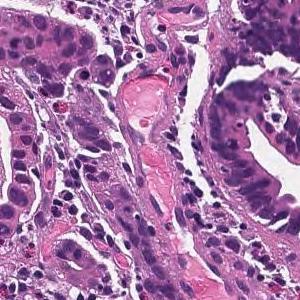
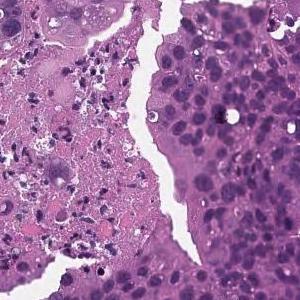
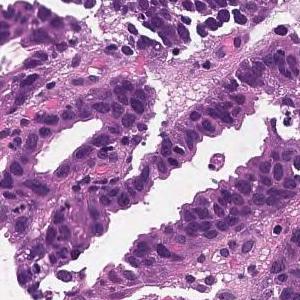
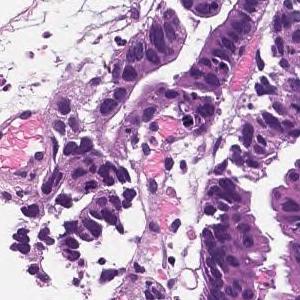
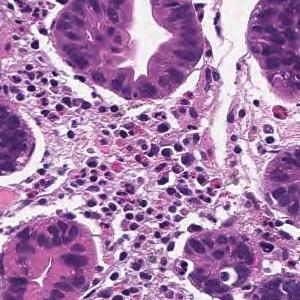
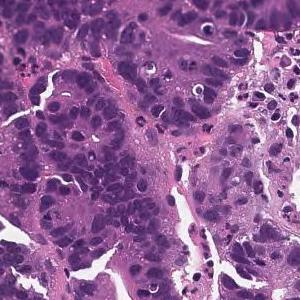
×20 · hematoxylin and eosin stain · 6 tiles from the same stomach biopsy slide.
Diagnostic report for the slide these tiles come from. The findings and the diagnosis refer to the entire slide; these tiles show only part of it, possibly with non-tumor tissue, and may not show every feature named.
In the superficial epithelium, tumor tissue that invades by forming medium-sized to small, irregular ducts is observed. moderately differentiated tubular adenocarcinoma.
